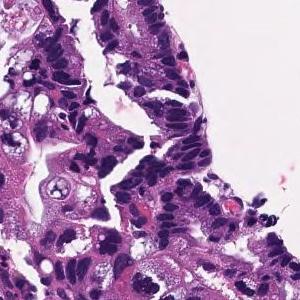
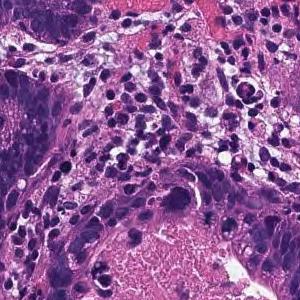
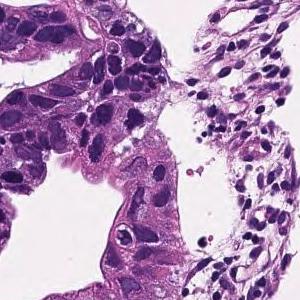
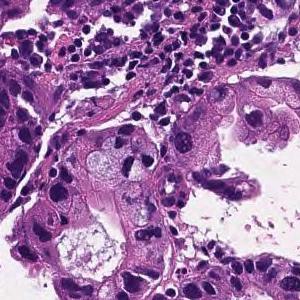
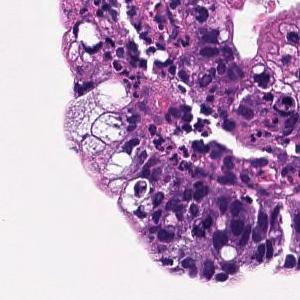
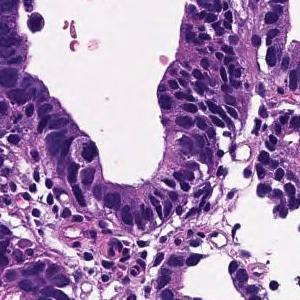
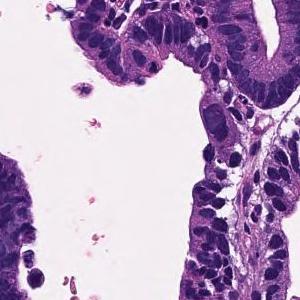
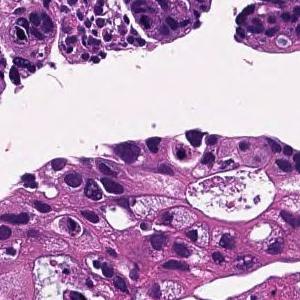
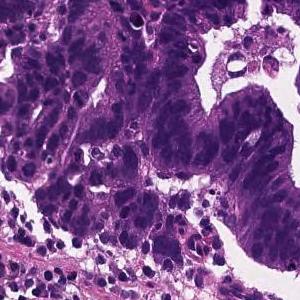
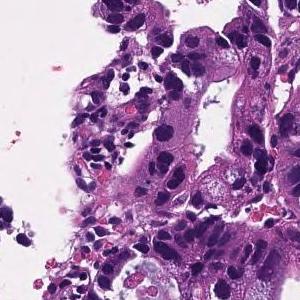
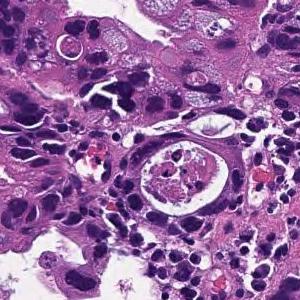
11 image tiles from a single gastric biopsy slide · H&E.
The pathologist's report on the biopsy slide these tiles were taken from. What the report and the diagnosis say applies to the whole slide; these tiles may miss some of the features named and may include tissue that is not tumor.
In the superficial epithelium, tumor tissue that invades by forming medium-sized to small, irregular ducts is observed. moderately differentiated tubular adenocarcinoma.
